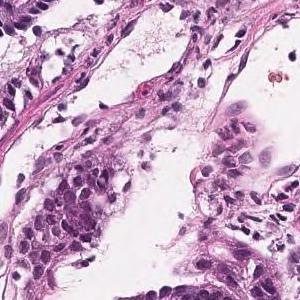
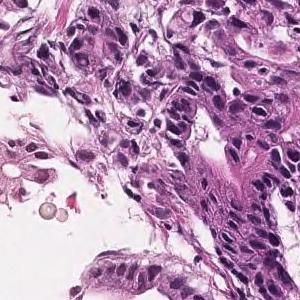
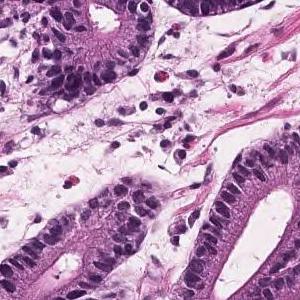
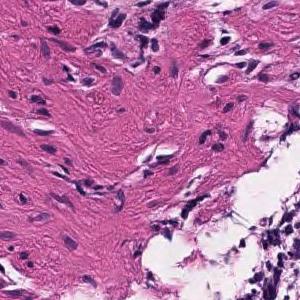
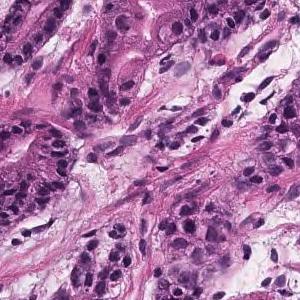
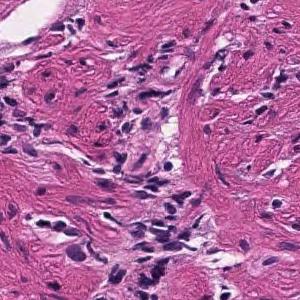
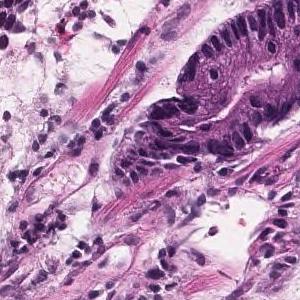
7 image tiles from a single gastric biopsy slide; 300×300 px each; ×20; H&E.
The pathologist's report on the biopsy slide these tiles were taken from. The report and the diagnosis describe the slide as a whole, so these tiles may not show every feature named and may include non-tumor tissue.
Tumor tissue with atypical epithelium showing irregular ductal or sieving ductal structure and proliferating is observed. Well to moderately differentiated tubular adenocarcinoma (well differentiated tubular adenocarcinoma-moderately differentiated tubular adenocarcinoma)
Subtype: Well to moderately differentiated tubular adenocarcinoma.
